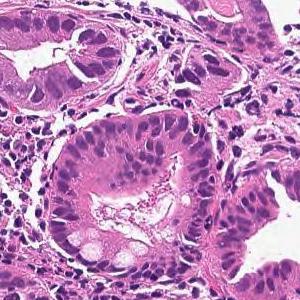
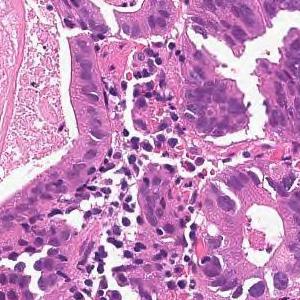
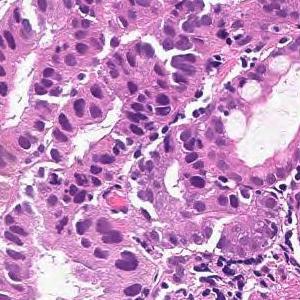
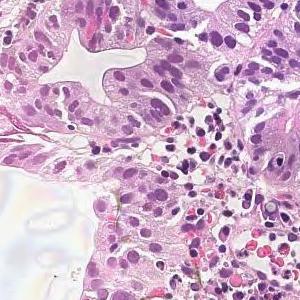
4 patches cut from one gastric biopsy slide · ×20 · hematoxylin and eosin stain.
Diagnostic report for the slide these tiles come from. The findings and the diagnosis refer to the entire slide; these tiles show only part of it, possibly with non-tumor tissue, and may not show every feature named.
From the superficial epithelium to the muscularis mucosae, tumor tissue consisting of medium-sized and irregular glandular ducts infiltrating is observed. Well differentiated tubular adenocarcinoma
